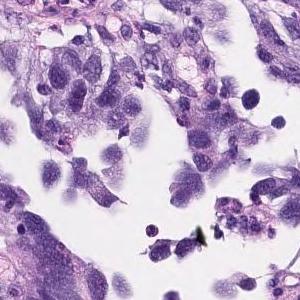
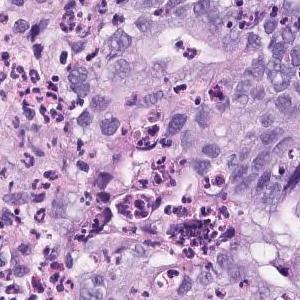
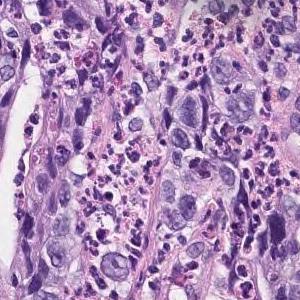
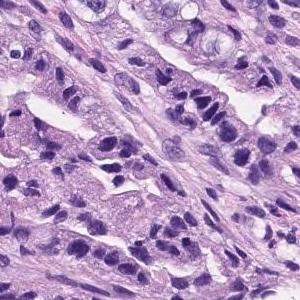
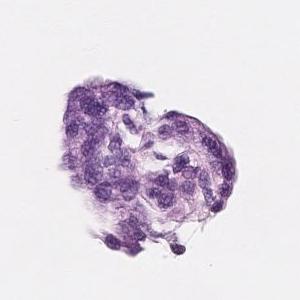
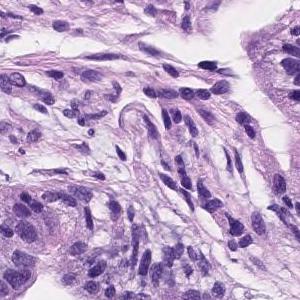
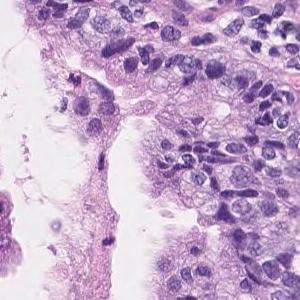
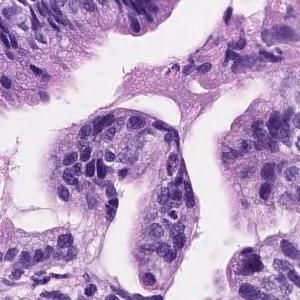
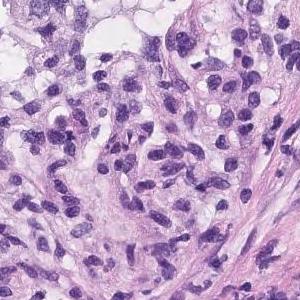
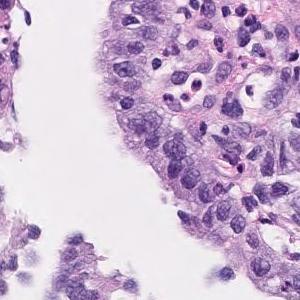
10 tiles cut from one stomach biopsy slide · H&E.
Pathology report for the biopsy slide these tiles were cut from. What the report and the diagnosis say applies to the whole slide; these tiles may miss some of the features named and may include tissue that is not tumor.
Tumor cells are large, highly columnar, large club-shaped nuclei, and are associated with chromatin aggregation. Papillary adenocarcinoma.
